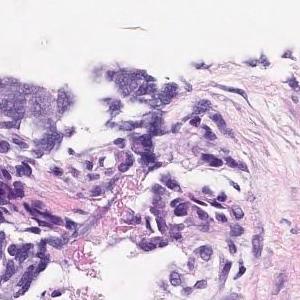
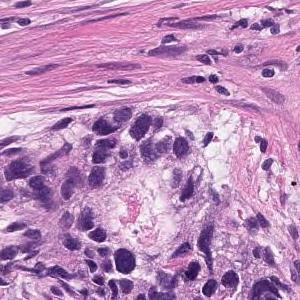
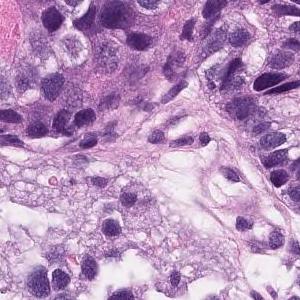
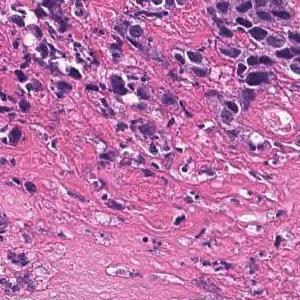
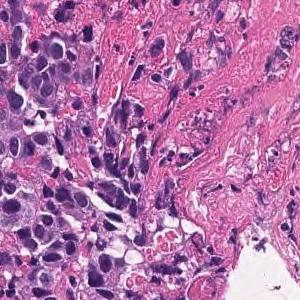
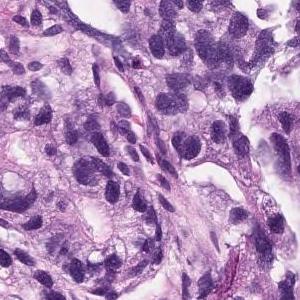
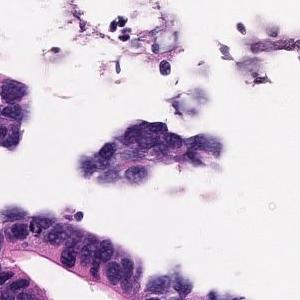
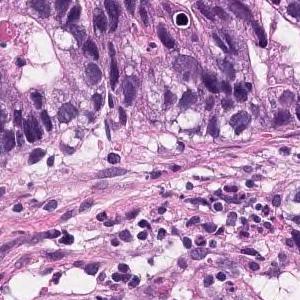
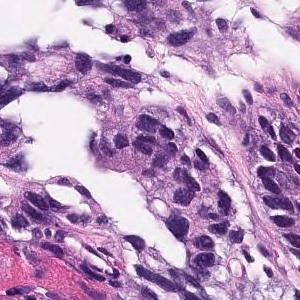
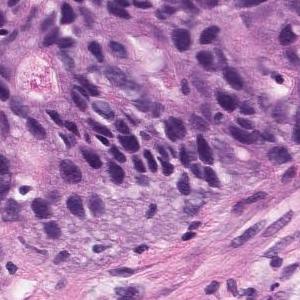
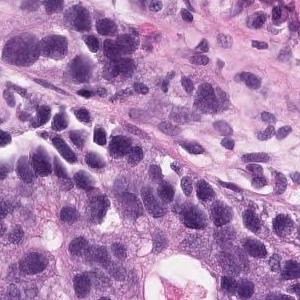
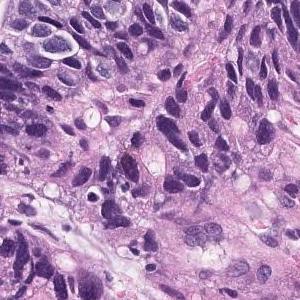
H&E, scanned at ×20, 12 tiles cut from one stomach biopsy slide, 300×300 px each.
Report on the slide these tiles come from. The report describes the whole slide, diagnosis included: not every finding it names need appear in these tiles, which may also show non-tumor tissue.
Medium to small, irregular glandular ducts are formed in the superficial epithelium, and in some cases, the glandular ducts are fused to show solid alveolar lesions and infiltrating tumor tissue is observed. Moderately to poorly differentiated adenocarcinoma.
